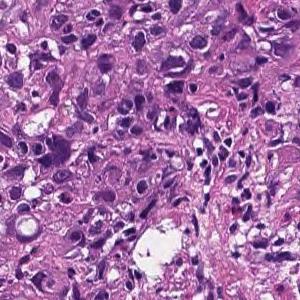
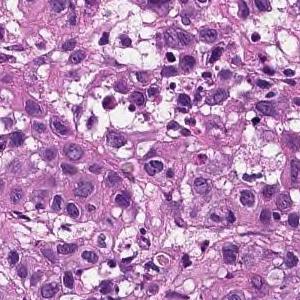
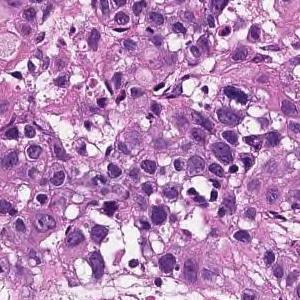
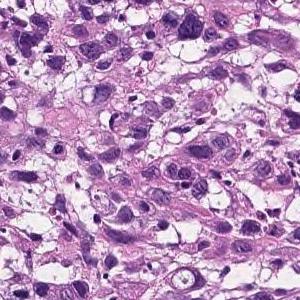
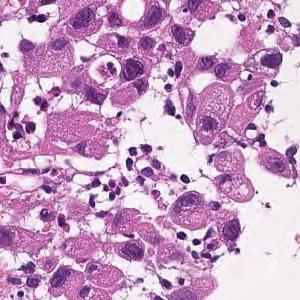
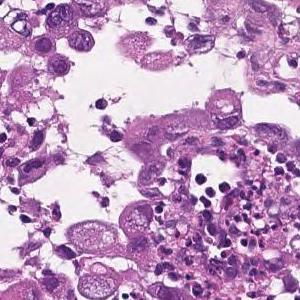
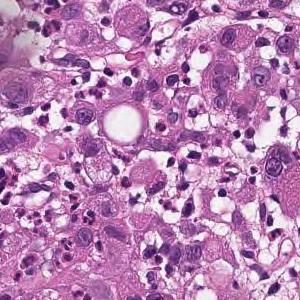
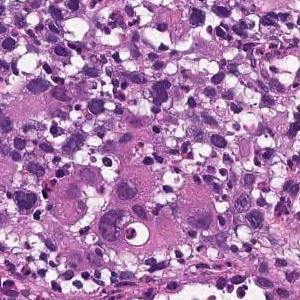
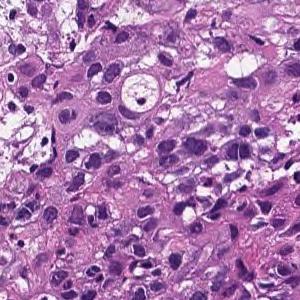
Scanned at ×20; 9 tiles from the same stomach biopsy slide; 300 × 300 pixels each.
Report on the slide these tiles come from. The findings and the diagnosis refer to the entire slide; these tiles show only part of it, possibly with non-tumor tissue, and may not show every feature named.
The superficial epithelium shows a large sheet-like shape, and some tumor tissue infiltrates with small irregular ducts. Poorly differentiated adenocarcinoma, solid-type
Subtype: Poorly differentiated adenocarcinoma, solid type, a category of the Japanese Classification of Gastric Carcinoma; in the WHO 2019 classification it is tubular adenocarcinoma, poorly differentiated.
